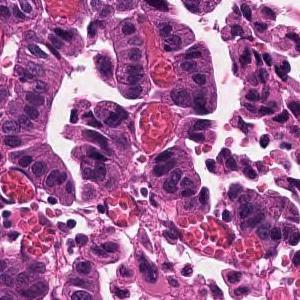
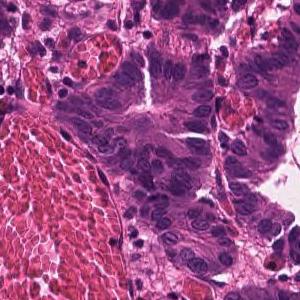
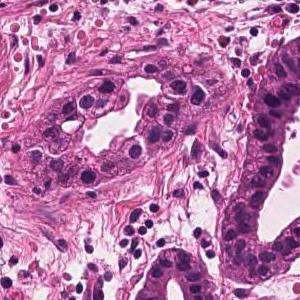
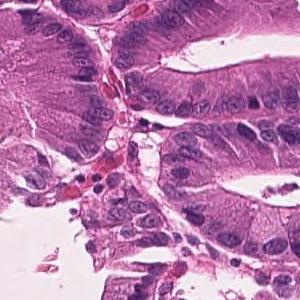
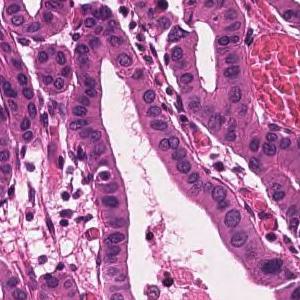
Hematoxylin and eosin stain · 5 tiles cut from one stomach biopsy slide.
Diagnostic report for the slide these tiles come from. Both the report and the diagnosis are for the whole slide: these tiles need not show every feature named, and some of the tissue shown may not be tumor.
Infiltrating tumor tissue with medium-sized, irregular ductal structure or large papillary appearance is observed. Well differentiated tubular adenocarcinoma
